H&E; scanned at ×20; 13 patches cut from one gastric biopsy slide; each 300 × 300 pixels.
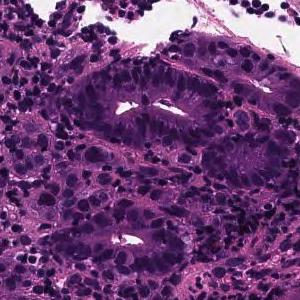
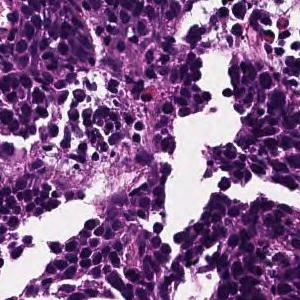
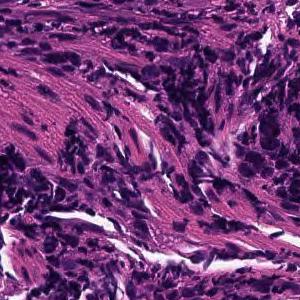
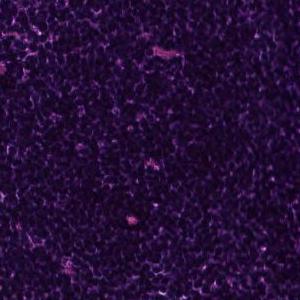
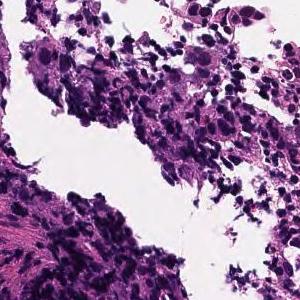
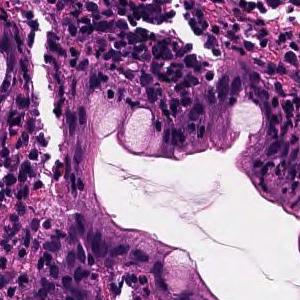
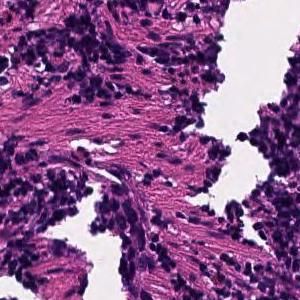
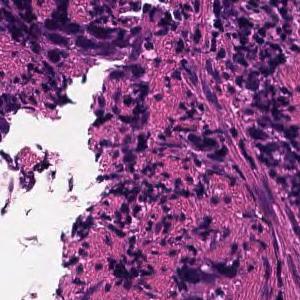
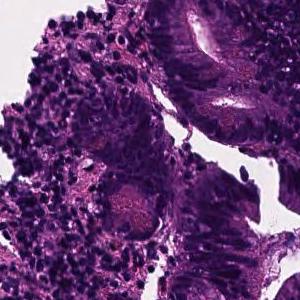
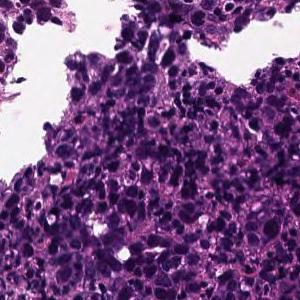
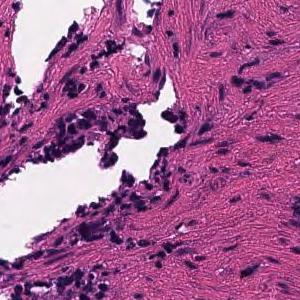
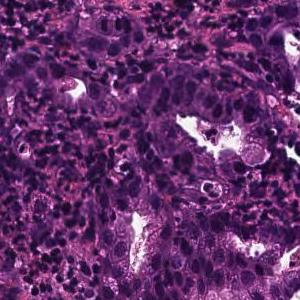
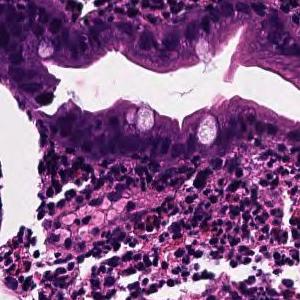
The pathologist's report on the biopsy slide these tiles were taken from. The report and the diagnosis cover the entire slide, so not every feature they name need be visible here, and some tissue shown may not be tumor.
Tumor tissue consisting of cord-like or small, irregular glandular ducts fused and infiltrated is observed in the superficial epithelium. Poorly differentiated adenocarcinoma, non-solid type
The term "non-solid type" comes from the Japanese Classification of Gastric Carcinoma.
